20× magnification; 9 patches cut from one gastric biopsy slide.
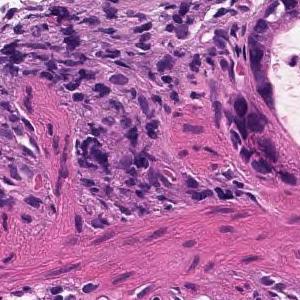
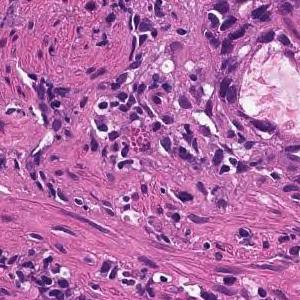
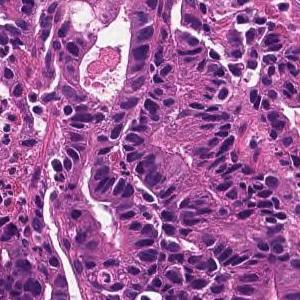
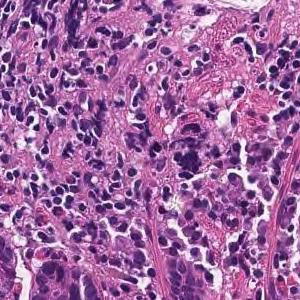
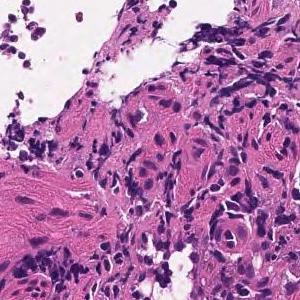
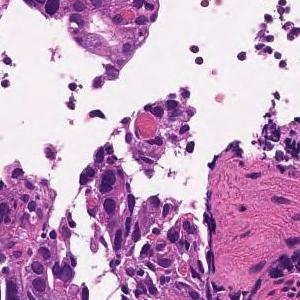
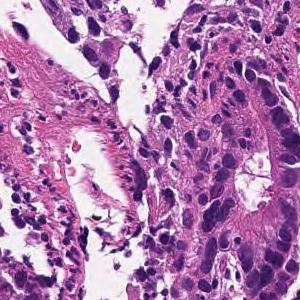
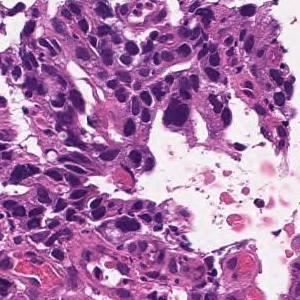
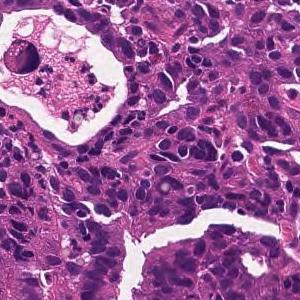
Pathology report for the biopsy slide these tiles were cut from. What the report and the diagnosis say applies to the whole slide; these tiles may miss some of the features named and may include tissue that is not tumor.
In the superficial epithelium, tumor tissue that invades by forming medium-sized to small, irregular ducts is observed. moderately differentiated tubular adenocarcinoma.
